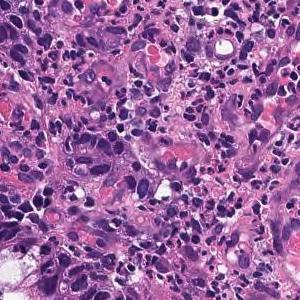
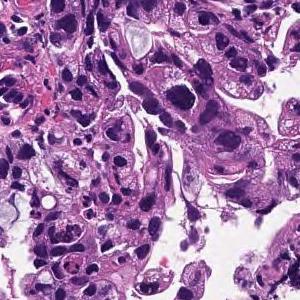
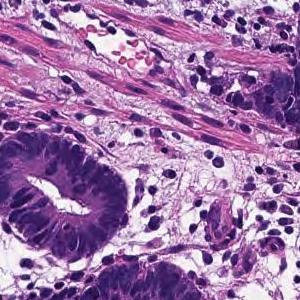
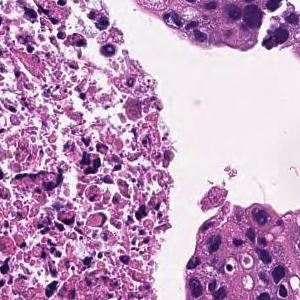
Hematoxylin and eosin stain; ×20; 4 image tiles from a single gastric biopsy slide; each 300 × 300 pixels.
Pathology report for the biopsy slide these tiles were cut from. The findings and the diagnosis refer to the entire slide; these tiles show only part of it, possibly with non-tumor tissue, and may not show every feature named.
In the superficial epithelium, tumor tissue that invades by forming medium-sized to small, irregular ducts is observed. moderately differentiated tubular adenocarcinoma.
